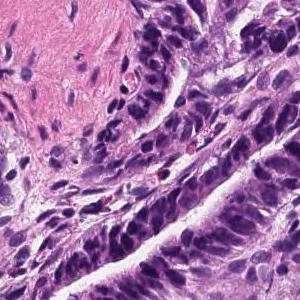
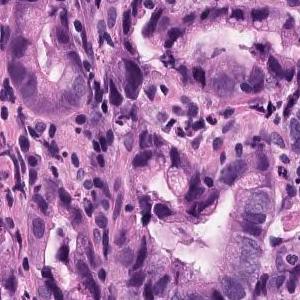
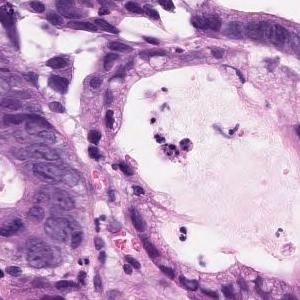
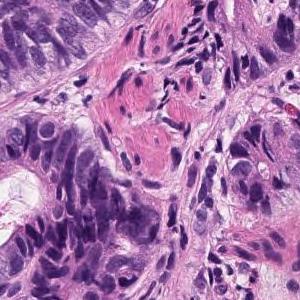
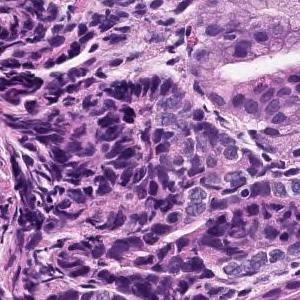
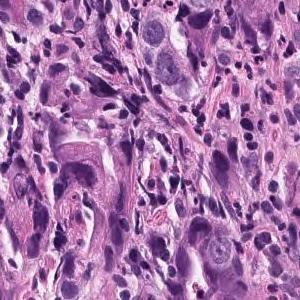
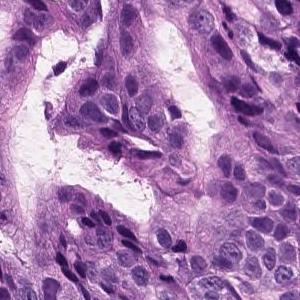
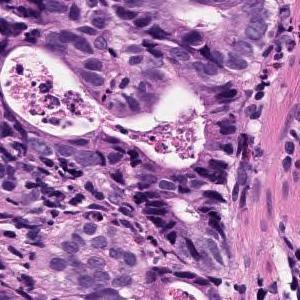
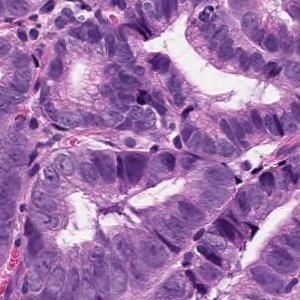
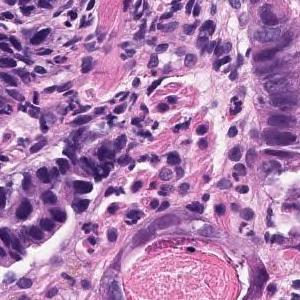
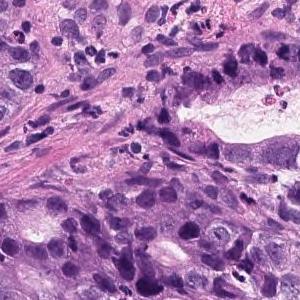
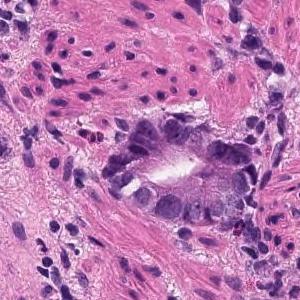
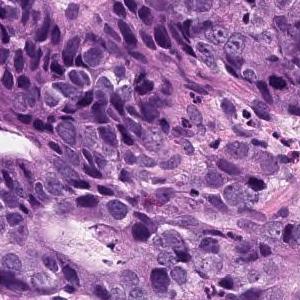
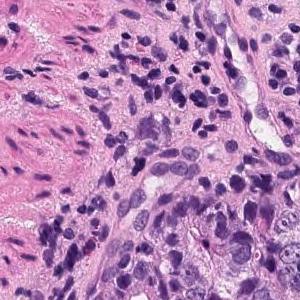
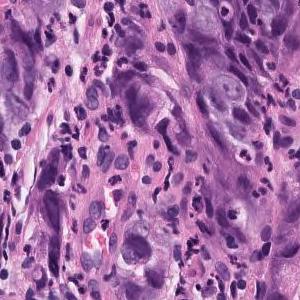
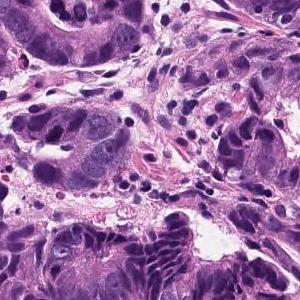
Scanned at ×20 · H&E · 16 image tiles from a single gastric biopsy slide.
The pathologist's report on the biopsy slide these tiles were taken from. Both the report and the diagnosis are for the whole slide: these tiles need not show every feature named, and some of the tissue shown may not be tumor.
The swollen atypical epithelium of the nucleus forms an irregular ductal structure and proliferates. moderately differentiated tubular adenocarcinoma
